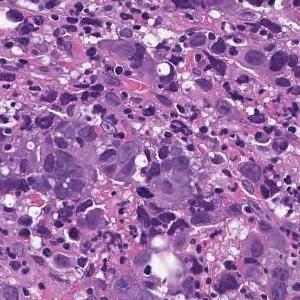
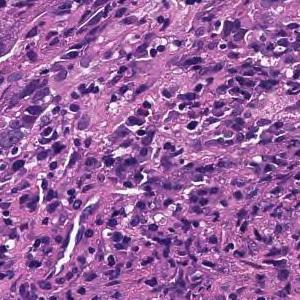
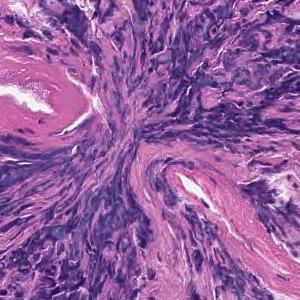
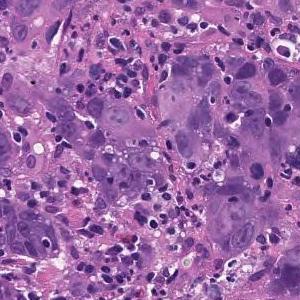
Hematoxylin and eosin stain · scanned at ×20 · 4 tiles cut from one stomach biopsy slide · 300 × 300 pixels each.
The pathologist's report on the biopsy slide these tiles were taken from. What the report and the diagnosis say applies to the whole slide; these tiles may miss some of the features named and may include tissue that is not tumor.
Tumor tissue consisting of cord-like or small, irregular glandular ducts fused and infiltrated is observed in the superficial epithelium. Poorly differentiated adenocarcinoma, non-solid type
The term "non-solid type" comes from the Japanese Classification of Gastric Carcinoma.
